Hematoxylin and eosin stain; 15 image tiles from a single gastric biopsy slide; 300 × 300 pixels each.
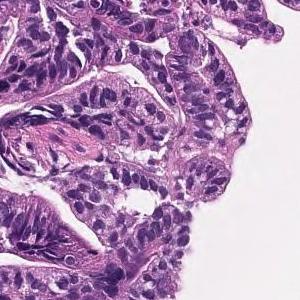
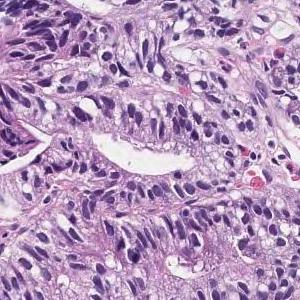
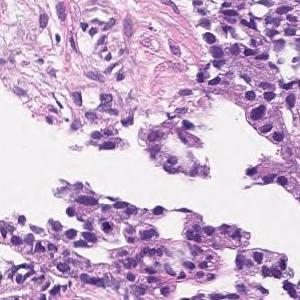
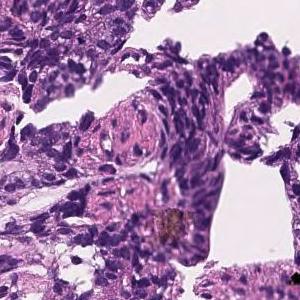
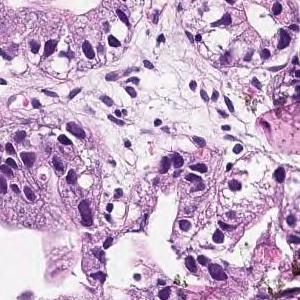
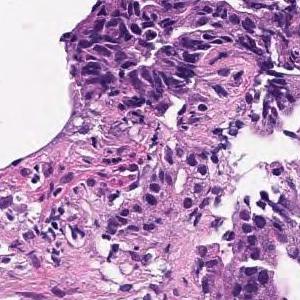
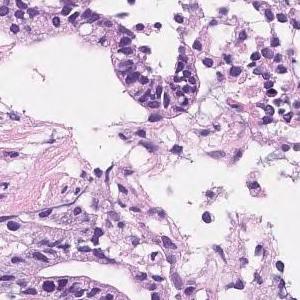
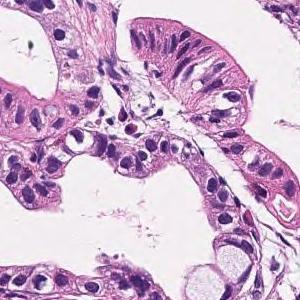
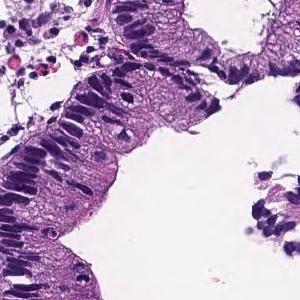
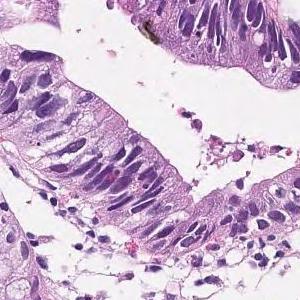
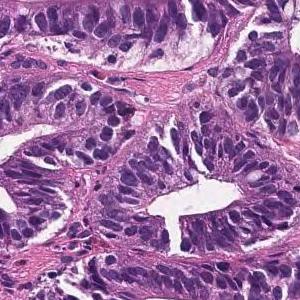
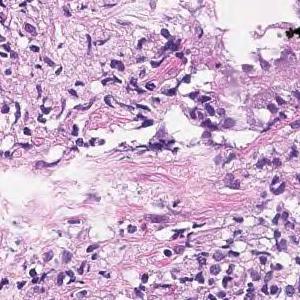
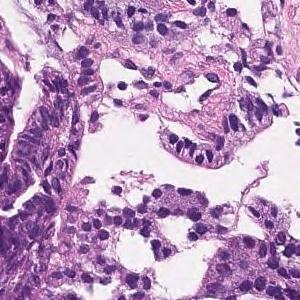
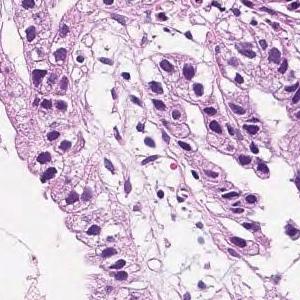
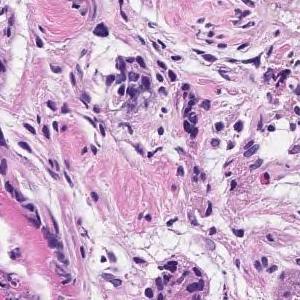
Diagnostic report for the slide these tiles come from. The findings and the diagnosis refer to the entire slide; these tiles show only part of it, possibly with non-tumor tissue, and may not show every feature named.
In the superficial epithelium, tumor tissue that invades by forming medium-sized to small, irregular ducts is observed. Moderately differentiated adenocarcinoma.
Tumor subtype: moderately differentiated tubular adenocarcinoma.
